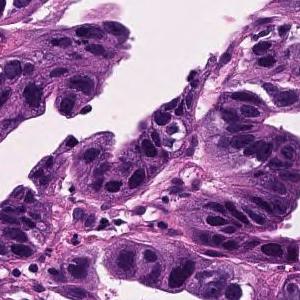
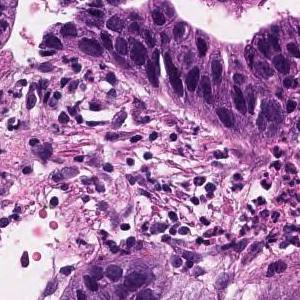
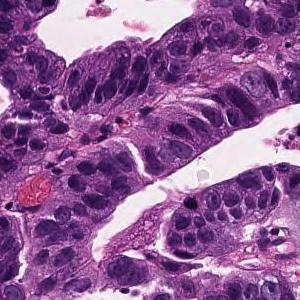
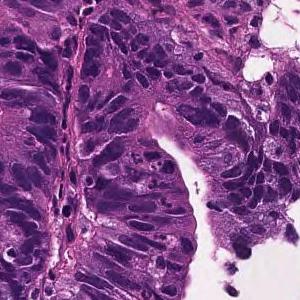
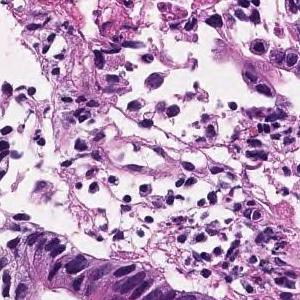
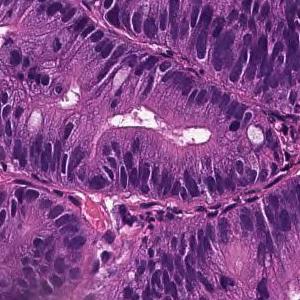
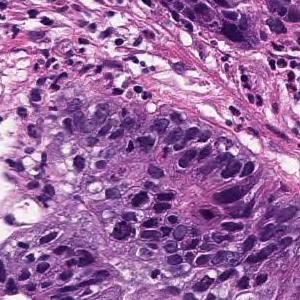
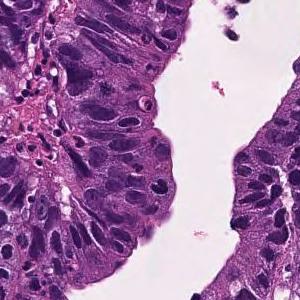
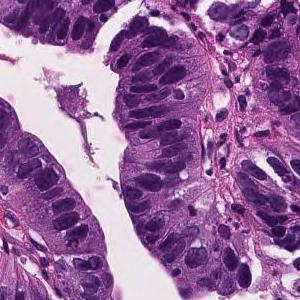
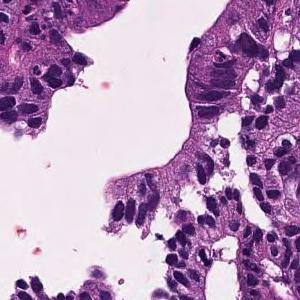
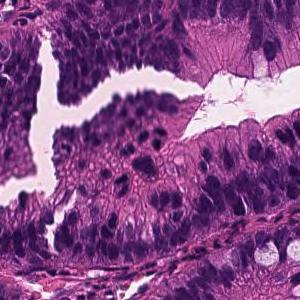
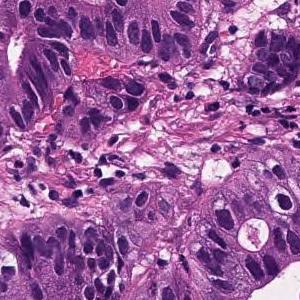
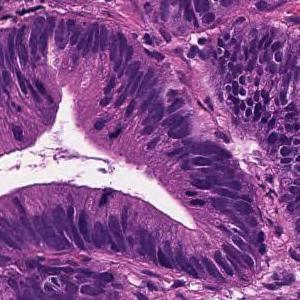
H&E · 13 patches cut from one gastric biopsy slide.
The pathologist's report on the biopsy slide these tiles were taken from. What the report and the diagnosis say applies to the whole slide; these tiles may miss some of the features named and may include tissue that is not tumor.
Tumor cells are large, highly columnar, large club-shaped nuclei, and are associated with chromatin aggregation. Papillary adenocarcinoma.
